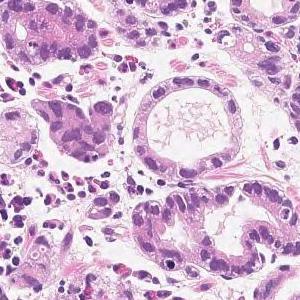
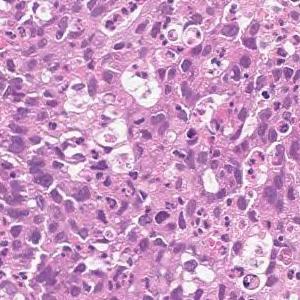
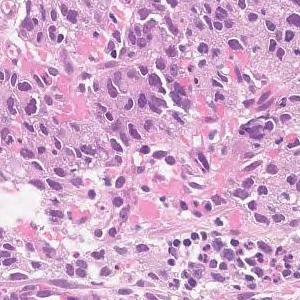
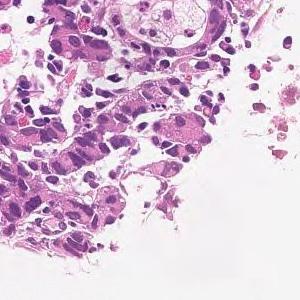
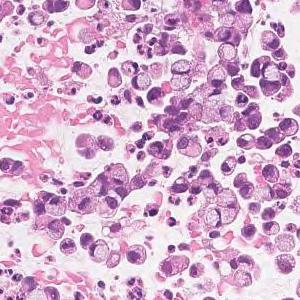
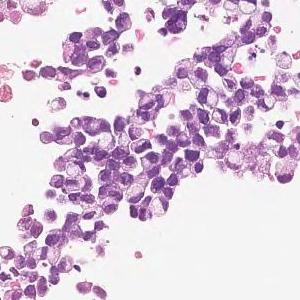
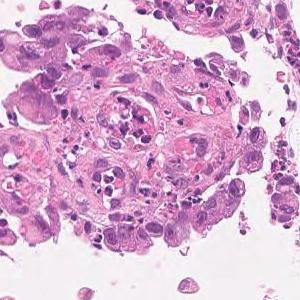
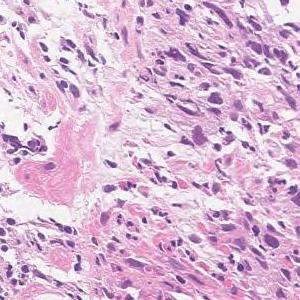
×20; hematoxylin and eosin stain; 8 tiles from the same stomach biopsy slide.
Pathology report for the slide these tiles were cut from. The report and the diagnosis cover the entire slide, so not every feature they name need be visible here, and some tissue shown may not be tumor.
Medium to small, irregular glandular ducts are formed in the superficial epithelium, and in some cases, the glandular ducts are fused to show solid alveolar lesions and infiltrating tumor tissue is observed. Moderately to poorly differentiated adenocarcinoma.
